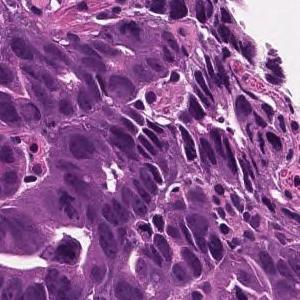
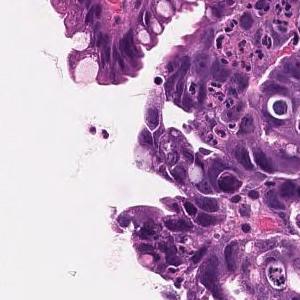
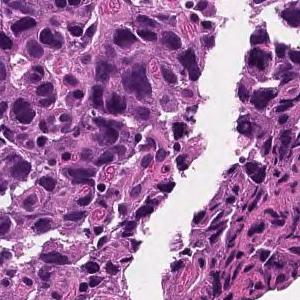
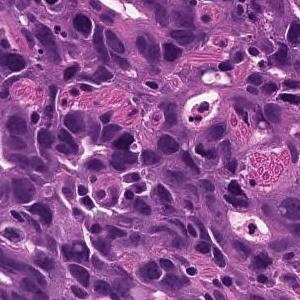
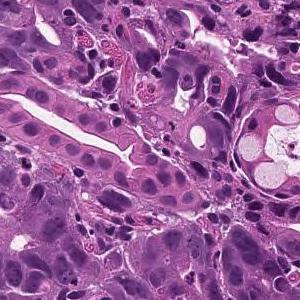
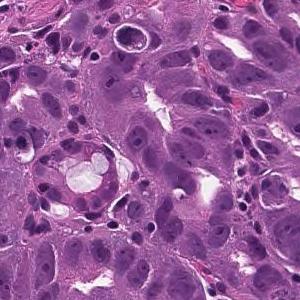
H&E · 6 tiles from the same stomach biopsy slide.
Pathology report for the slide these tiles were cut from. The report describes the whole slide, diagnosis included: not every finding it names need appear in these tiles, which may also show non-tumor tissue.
On the superficial epithelium, tumor tissue is found in which medium-sized irregular gland ducts fuse with each other and infiltrate. moderately differentiated tubular adenocarcinoma
